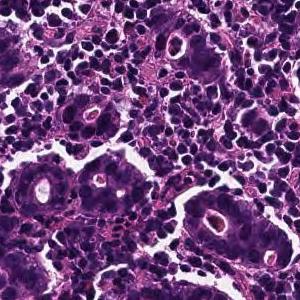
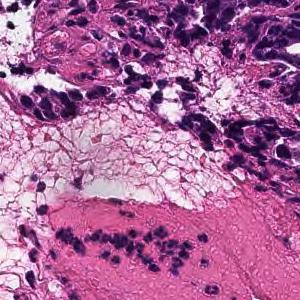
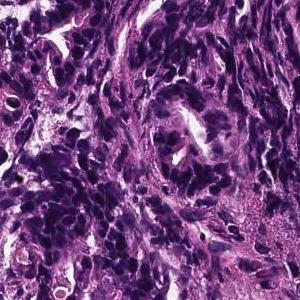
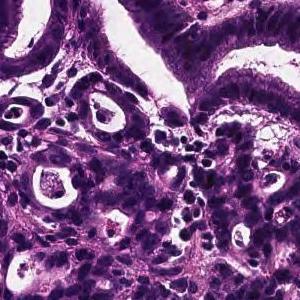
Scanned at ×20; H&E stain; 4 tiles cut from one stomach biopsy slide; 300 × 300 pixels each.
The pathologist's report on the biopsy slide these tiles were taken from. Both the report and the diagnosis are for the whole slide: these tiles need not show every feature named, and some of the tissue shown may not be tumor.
On the superficial epithelium, tumor tissue is found in which medium-sized irregular gland ducts fuse with each other and infiltrate. moderately differentiated tubular adenocarcinoma or Poorly differentiated adenocarcinoma, non-solid type
Histological subtype: Moderately to poorly differentiated adenocarcinoma.
The non-solid type named here is a Japanese Classification of Gastric Carcinoma category.
